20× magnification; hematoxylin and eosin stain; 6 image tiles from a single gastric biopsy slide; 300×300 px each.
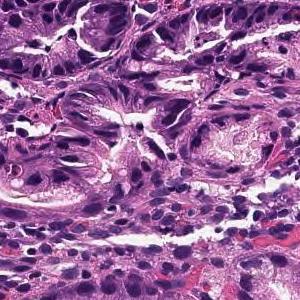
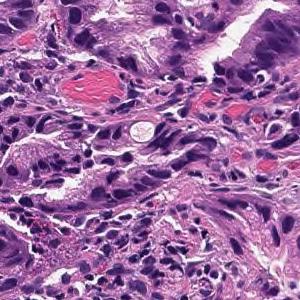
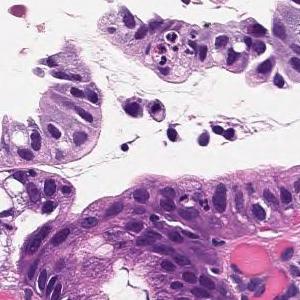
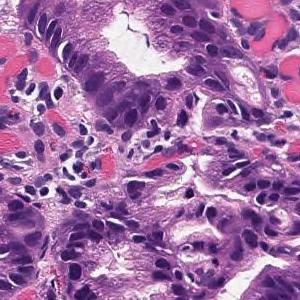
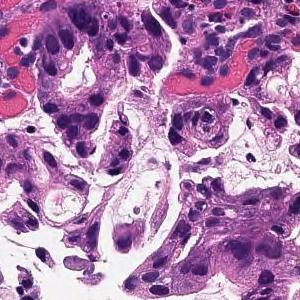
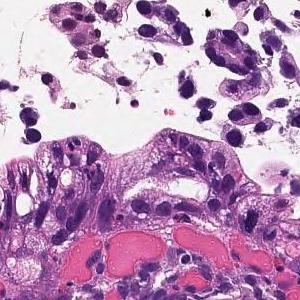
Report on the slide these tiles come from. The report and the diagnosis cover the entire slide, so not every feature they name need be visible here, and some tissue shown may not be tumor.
In the superficial epithelium, tumor tissue that invades by forming medium-sized to small, irregular ducts is observed. moderately differentiated tubular adenocarcinoma.
